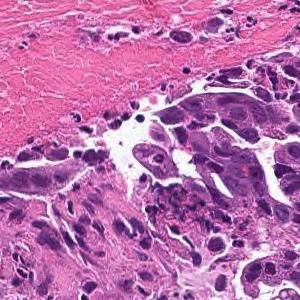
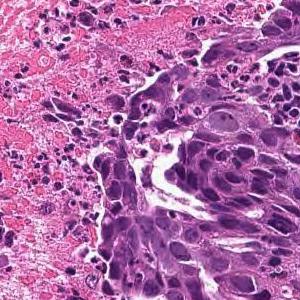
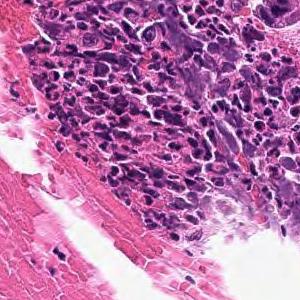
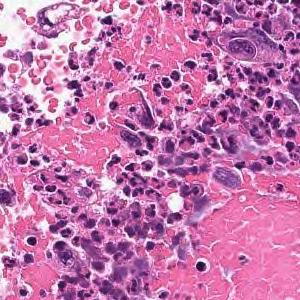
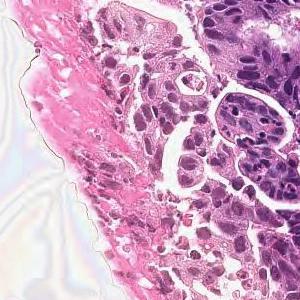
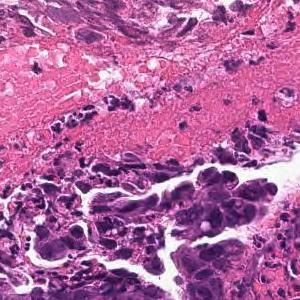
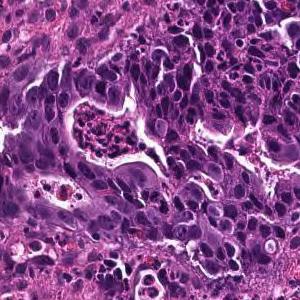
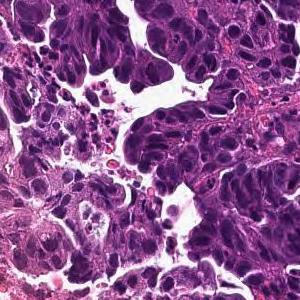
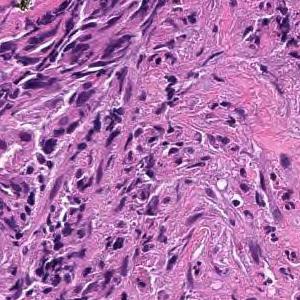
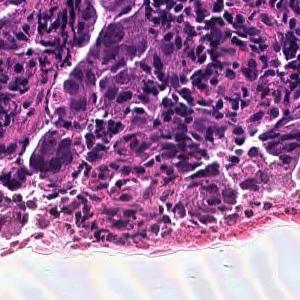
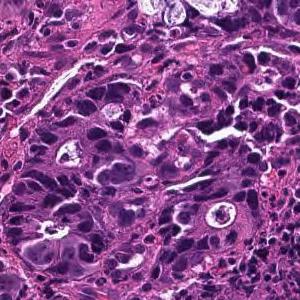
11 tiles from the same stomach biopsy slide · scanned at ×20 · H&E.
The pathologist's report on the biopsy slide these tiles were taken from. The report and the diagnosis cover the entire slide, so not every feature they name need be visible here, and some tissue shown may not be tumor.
In the superficial epithelium, tumor tissue that invades by forming medium-sized to small, irregular ducts is observed. moderately differentiated tubular adenocarcinoma.
